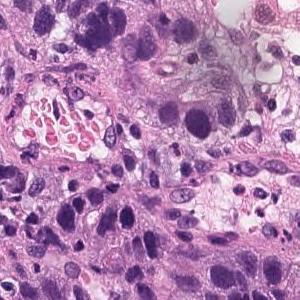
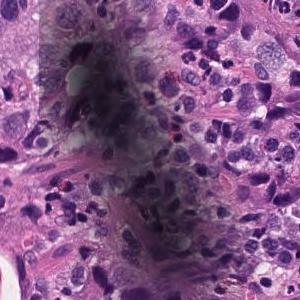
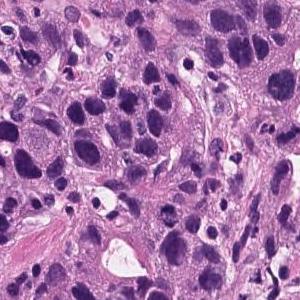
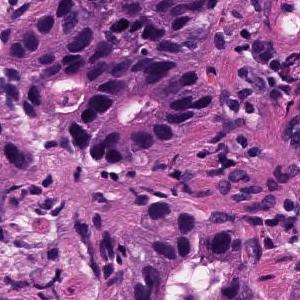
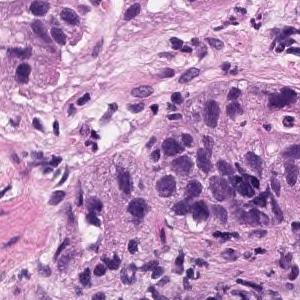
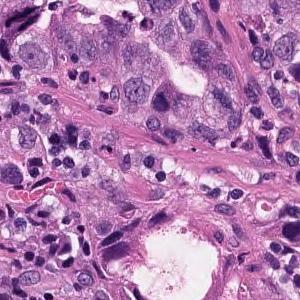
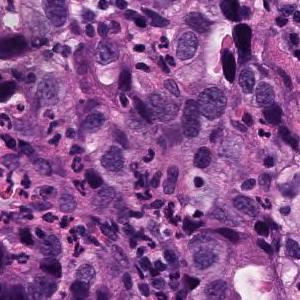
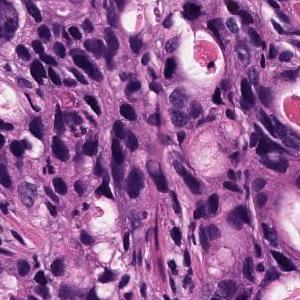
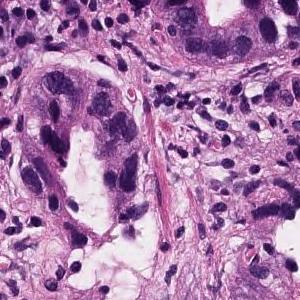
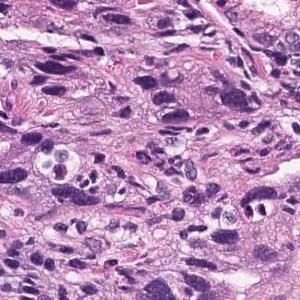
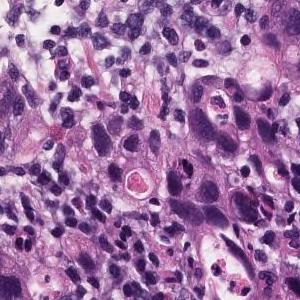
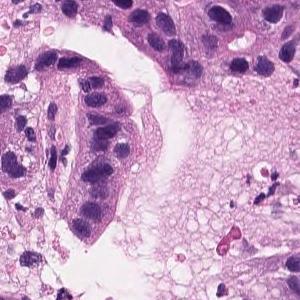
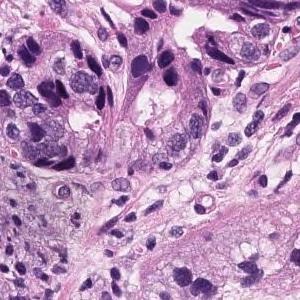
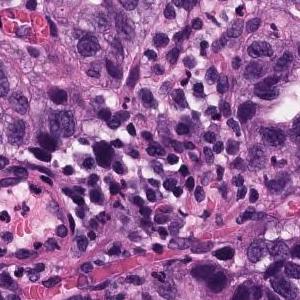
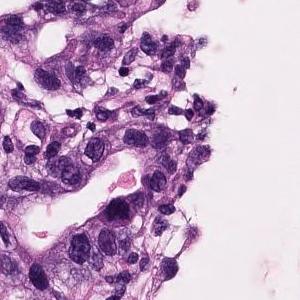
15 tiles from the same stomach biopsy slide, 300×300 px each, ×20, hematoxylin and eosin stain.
The pathologist's report on the biopsy slide these tiles were taken from. The report describes the whole slide, diagnosis included: not every finding it names need appear in these tiles, which may also show non-tumor tissue.
In the superficial epithelium, tumor tissue that invades by forming medium-sized to small, irregular ducts is observed. Moderately differentiated adenocarcinoma.
Tumor subtype: moderately differentiated tubular adenocarcinoma.
